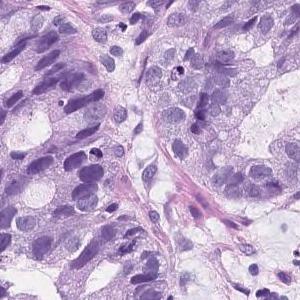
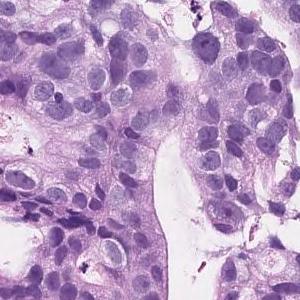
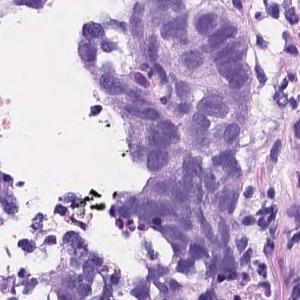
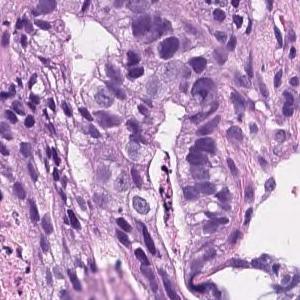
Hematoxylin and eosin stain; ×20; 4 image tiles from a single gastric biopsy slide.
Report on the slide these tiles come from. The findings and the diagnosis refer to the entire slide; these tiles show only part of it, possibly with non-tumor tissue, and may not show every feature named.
On the superficial epithelium, tumor tissue consisting of an image of large, irregular glandular ducts partially fused and infiltrated is observed. Well to moderately differentiated tubular adenocarcinoma
